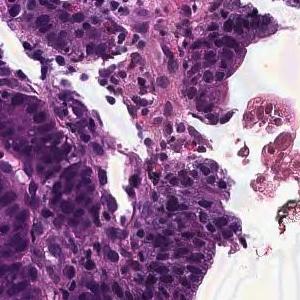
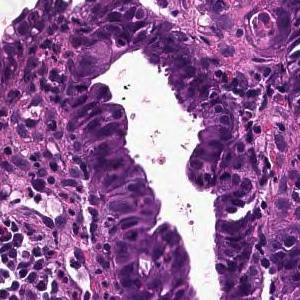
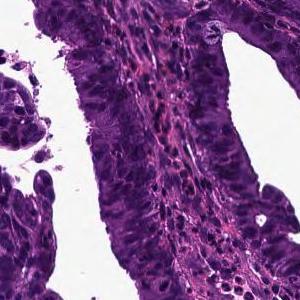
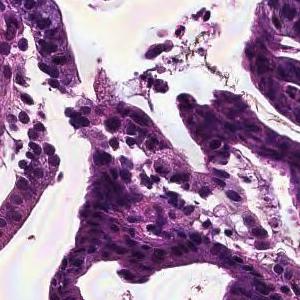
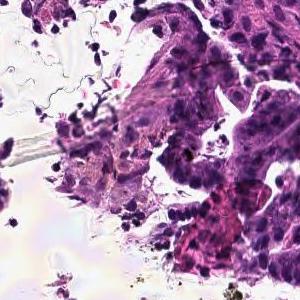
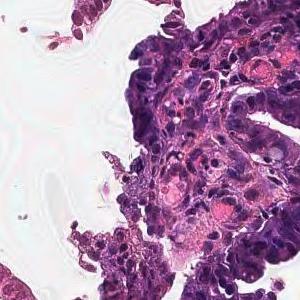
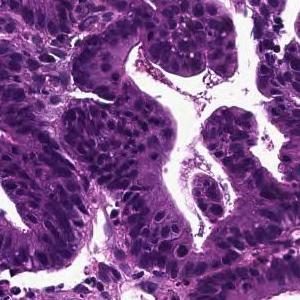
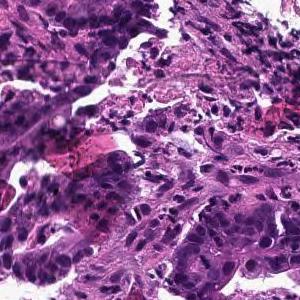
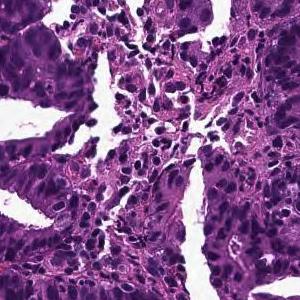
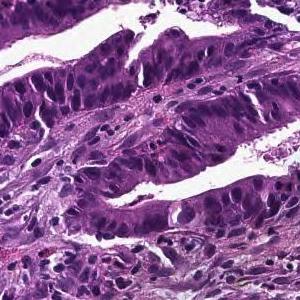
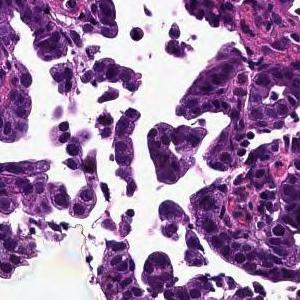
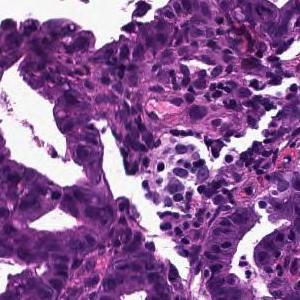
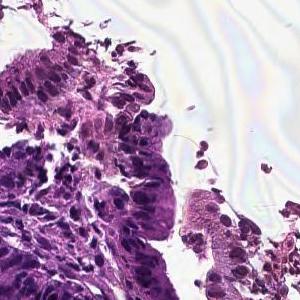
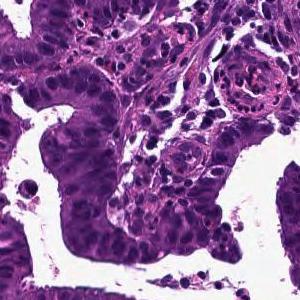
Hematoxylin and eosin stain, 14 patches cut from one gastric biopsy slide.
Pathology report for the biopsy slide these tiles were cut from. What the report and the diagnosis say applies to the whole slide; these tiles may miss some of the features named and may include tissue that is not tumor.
Tumor cells are large, highly columnar, large club-shaped nuclei, and are associated with chromatin aggregation. Papillary adenocarcinoma.
